10 tiles from the same stomach biopsy slide; 300 × 300 pixels each; 20× magnification.
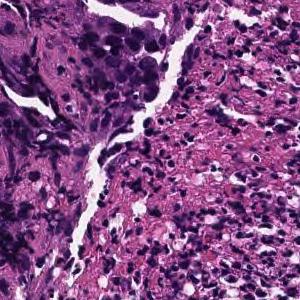
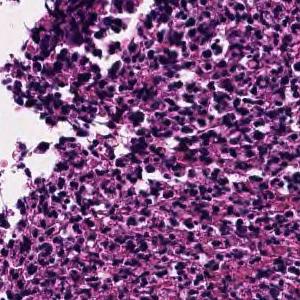
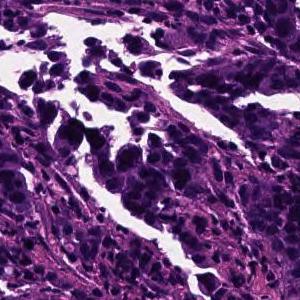
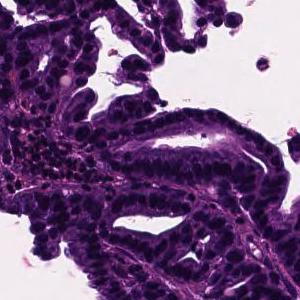
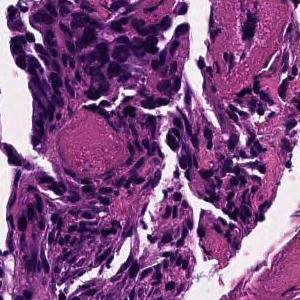
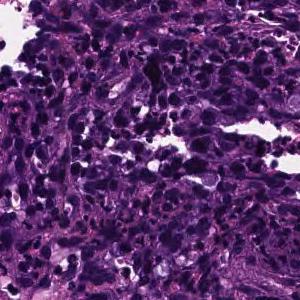
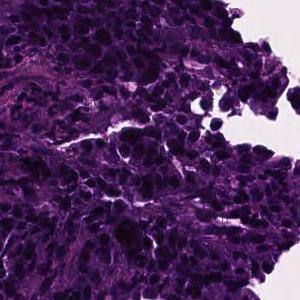
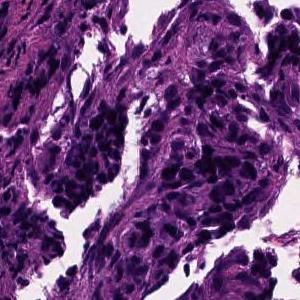
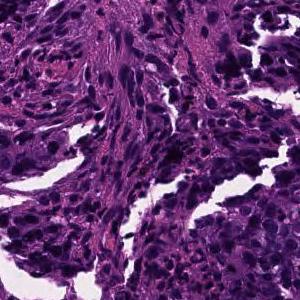
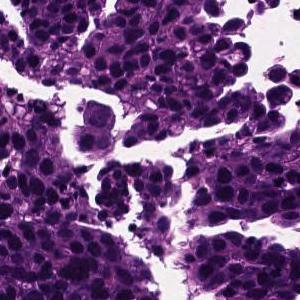
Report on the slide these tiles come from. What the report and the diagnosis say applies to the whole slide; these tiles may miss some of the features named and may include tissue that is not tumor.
In the superficial epithelium, tumor tissue that invades by forming medium-sized to small, irregular ducts is observed. moderately differentiated tubular adenocarcinoma.
